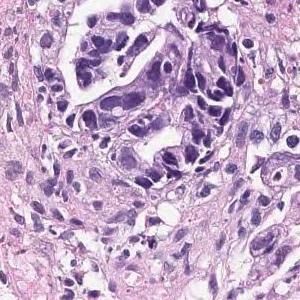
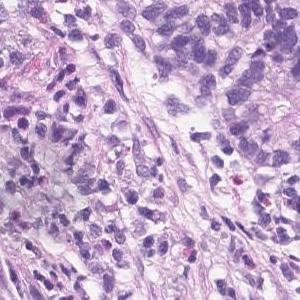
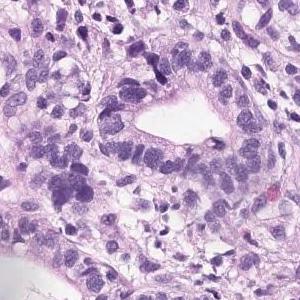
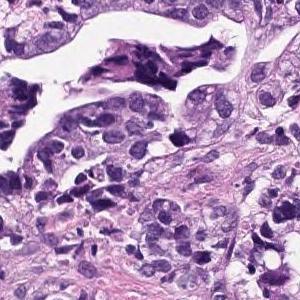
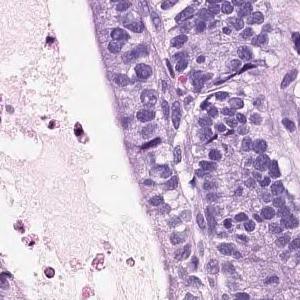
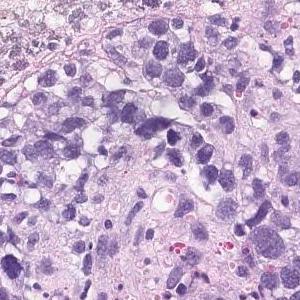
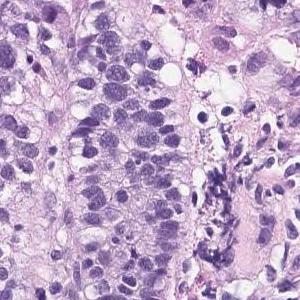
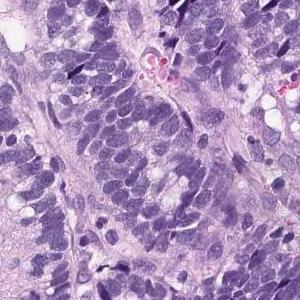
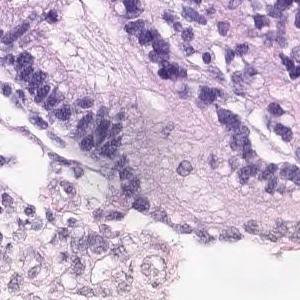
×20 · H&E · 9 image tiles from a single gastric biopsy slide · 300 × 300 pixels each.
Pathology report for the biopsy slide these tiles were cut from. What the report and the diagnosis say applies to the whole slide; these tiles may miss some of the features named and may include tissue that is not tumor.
Hyperplasia of atypical epithelial cells with swelling of the nucleus is observed. Moderately diffentiated tubular adenocarcinoma
Classified as moderately differentiated tubular adenocarcinoma.
